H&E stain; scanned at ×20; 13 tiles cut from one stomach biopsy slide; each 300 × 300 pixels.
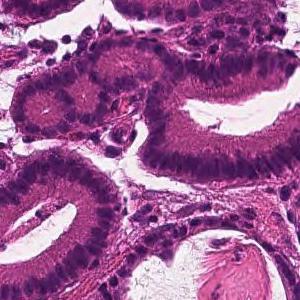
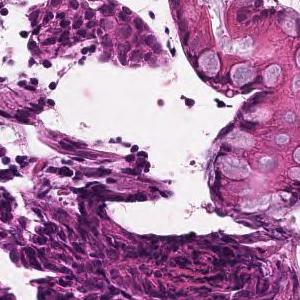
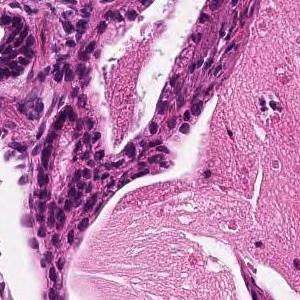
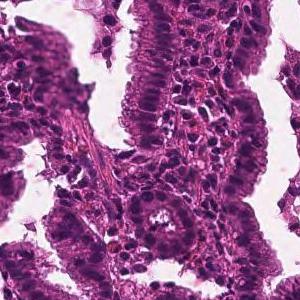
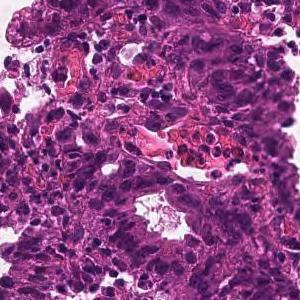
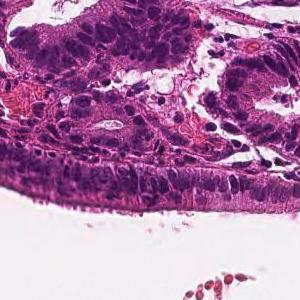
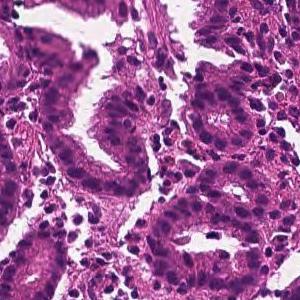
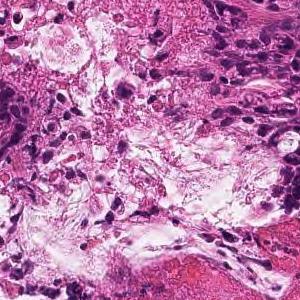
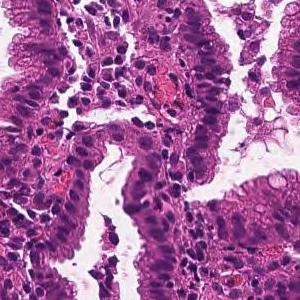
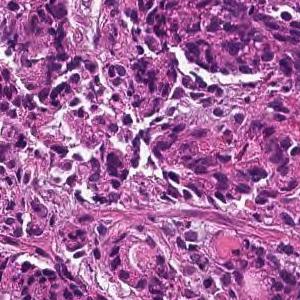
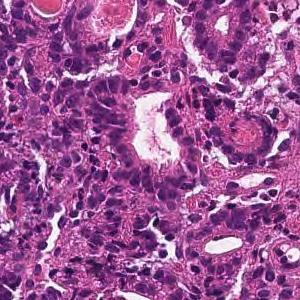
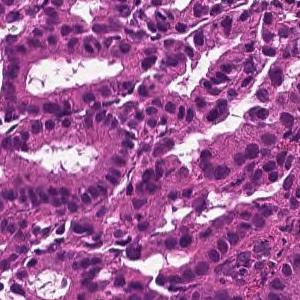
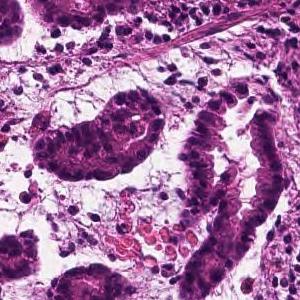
Diagnostic report for the slide these tiles come from. Both the report and the diagnosis are for the whole slide: these tiles need not show every feature named, and some of the tissue shown may not be tumor.
From the superficial epithelium to the muscularis mucosae, tumor tissue consisting of medium-sized and irregular glandular ducts infiltrating is observed. Well differentiated tubular adenocarcinoma
